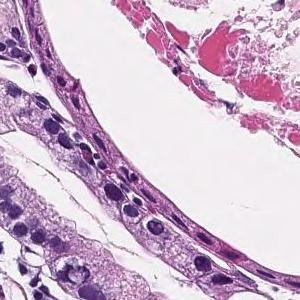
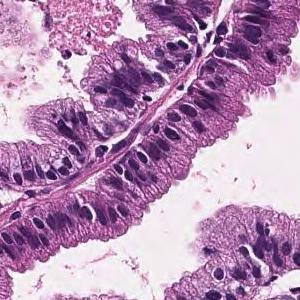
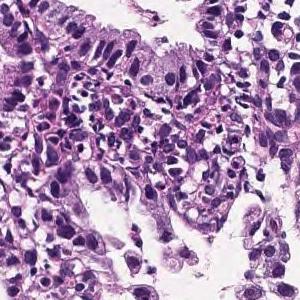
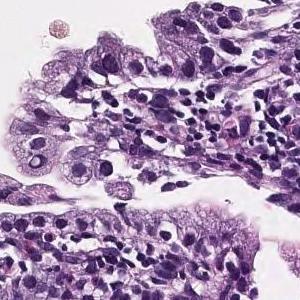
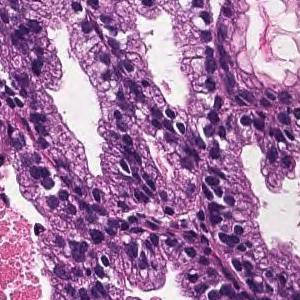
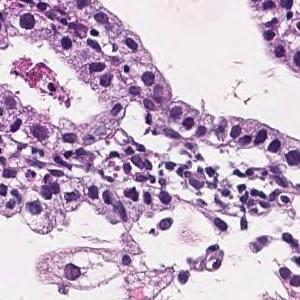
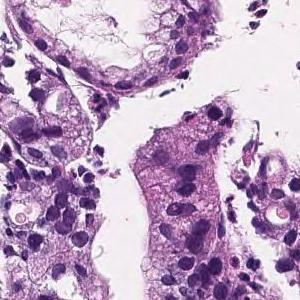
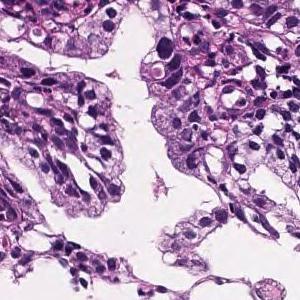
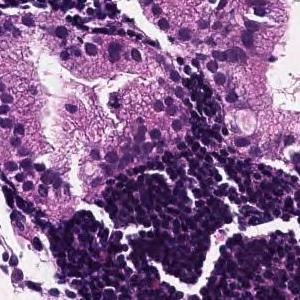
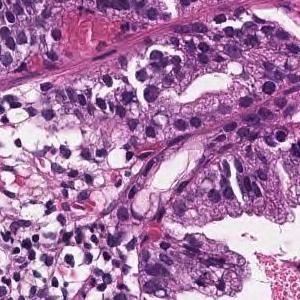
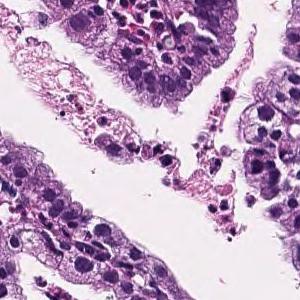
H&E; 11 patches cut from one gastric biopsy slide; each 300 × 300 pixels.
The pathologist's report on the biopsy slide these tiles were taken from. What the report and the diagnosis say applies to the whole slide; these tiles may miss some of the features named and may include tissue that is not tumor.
In the superficial epithelium, tumor tissue that infiltrates by forming medium-sized papillary or small irregular ducts is observed. Papillary adenocarcinoma
